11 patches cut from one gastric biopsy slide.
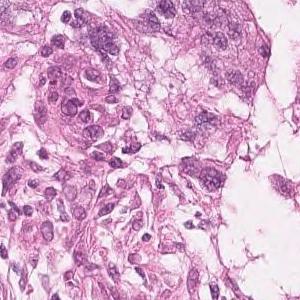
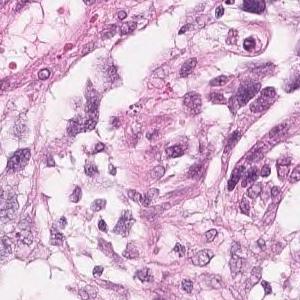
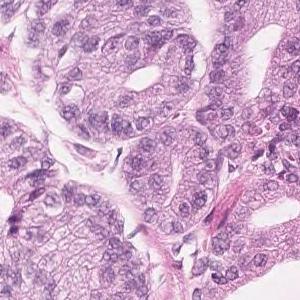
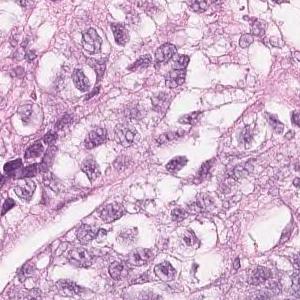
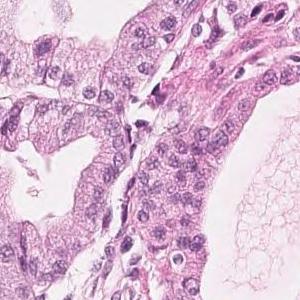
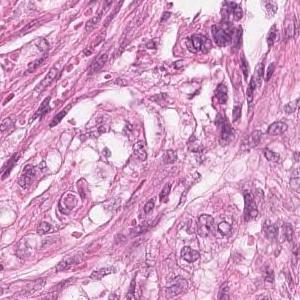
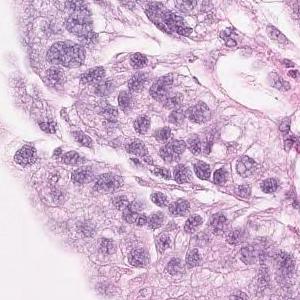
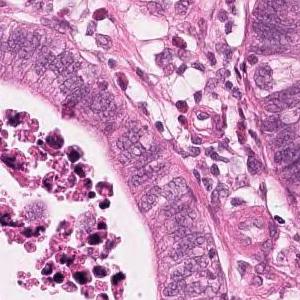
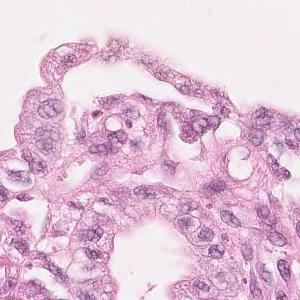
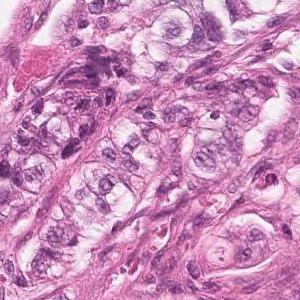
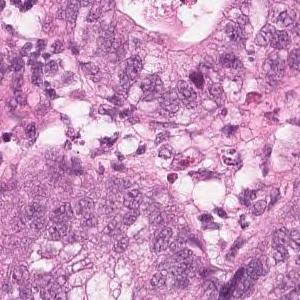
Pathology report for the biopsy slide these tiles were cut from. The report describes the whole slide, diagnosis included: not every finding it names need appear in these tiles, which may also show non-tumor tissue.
Highly columnar epithelium with disordered nuclear localization proliferates showing fusion ductal construction. moderately differentiated tubular adenocarcinoma
